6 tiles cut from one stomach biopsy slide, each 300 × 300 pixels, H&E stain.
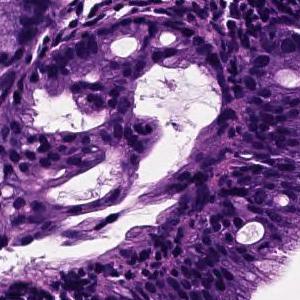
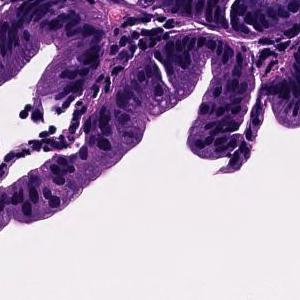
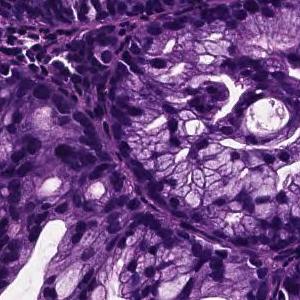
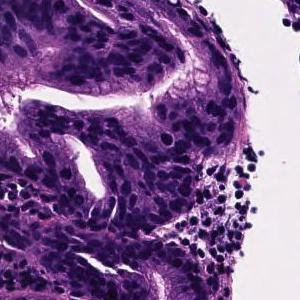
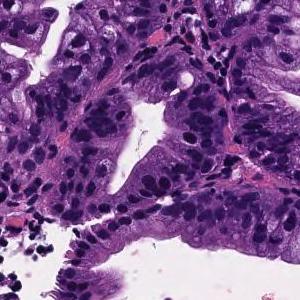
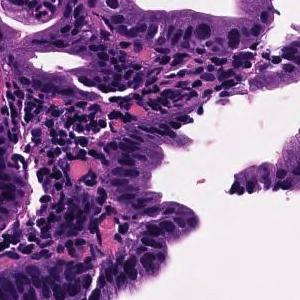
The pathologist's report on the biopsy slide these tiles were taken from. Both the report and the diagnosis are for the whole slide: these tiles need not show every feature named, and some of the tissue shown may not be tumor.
On the superficial epithelium, tumor tissue that infiltrates by forming medium-sized papillary or small irregular ducts is observed. Papillary adenocarcinoma
